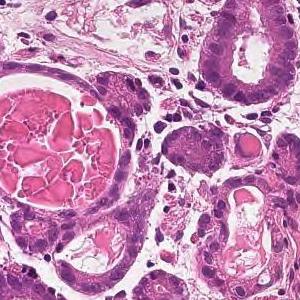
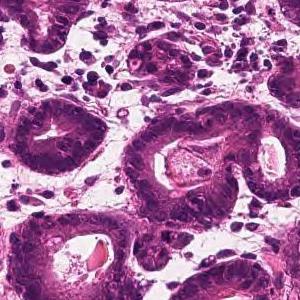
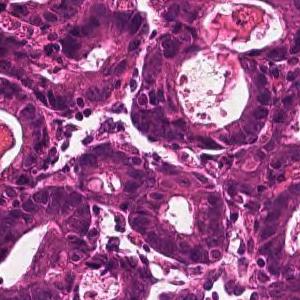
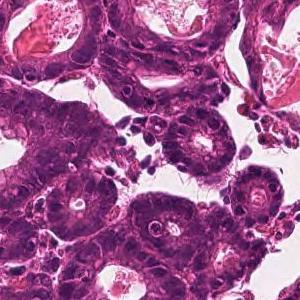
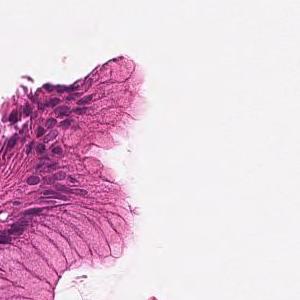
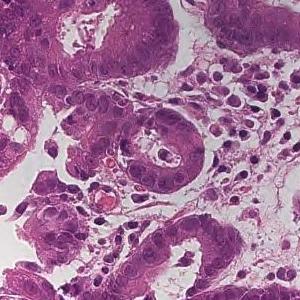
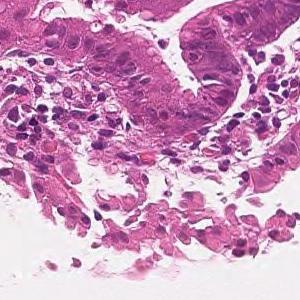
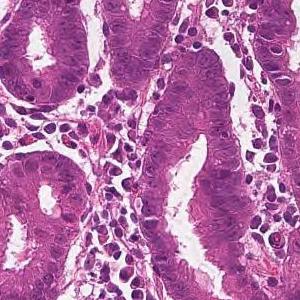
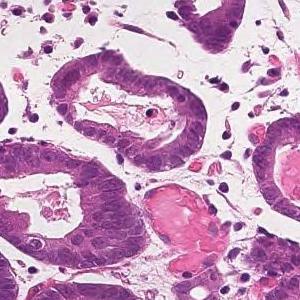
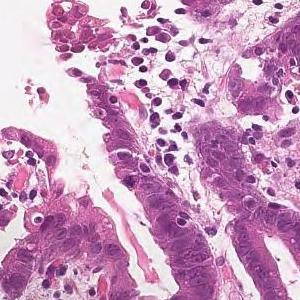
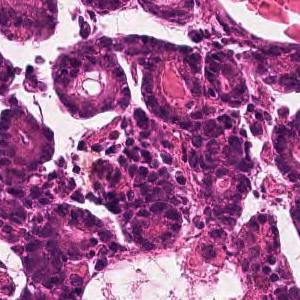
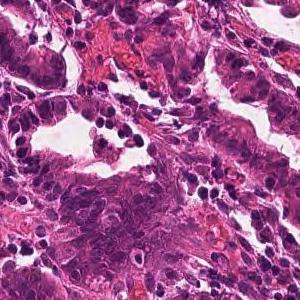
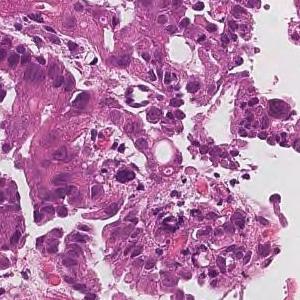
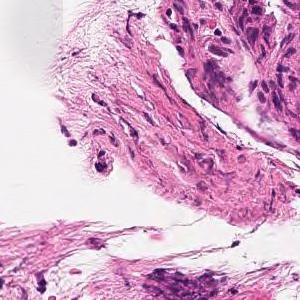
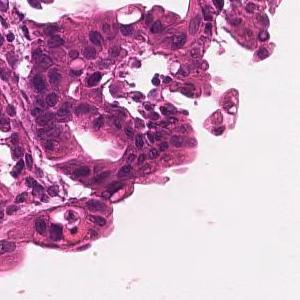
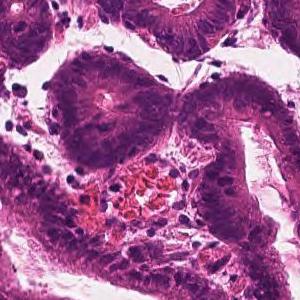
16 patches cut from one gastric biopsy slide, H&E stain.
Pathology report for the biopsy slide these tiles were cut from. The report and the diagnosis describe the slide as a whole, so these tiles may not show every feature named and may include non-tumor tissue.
From the superficial epithelium to the muscularis mucosae, tumor tissue consisting of medium-sized and irregular glandular ducts infiltrating is observed. Well differentiated tubular adenocarcinoma
